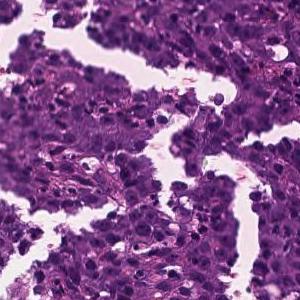
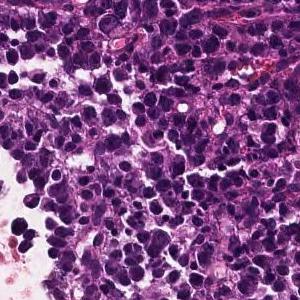
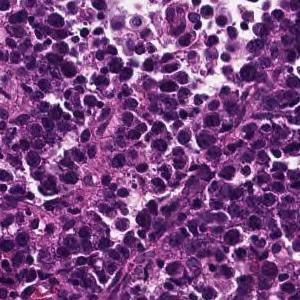
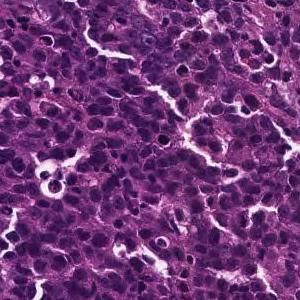
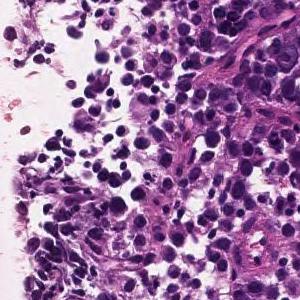
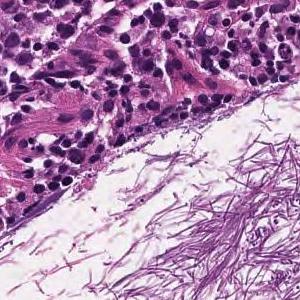
6 patches cut from one gastric biopsy slide; each 300 × 300 pixels; H&E stain; ×20.
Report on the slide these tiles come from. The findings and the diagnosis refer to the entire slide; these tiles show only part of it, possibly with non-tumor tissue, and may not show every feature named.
The superficial epithelium shows a large sheet-like shape, and some tumor tissue infiltrates with small irregular ducts. Poorly differentiated adenocarcinoma, solid-type
Classified as poorly differentiated adenocarcinoma, solid type (Japanese Classification of Gastric Carcinoma). The WHO 2019 equivalent is tubular adenocarcinoma, poorly differentiated.
